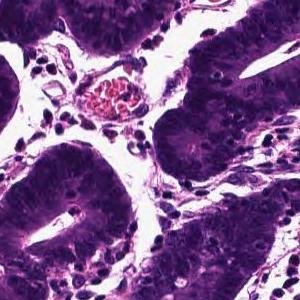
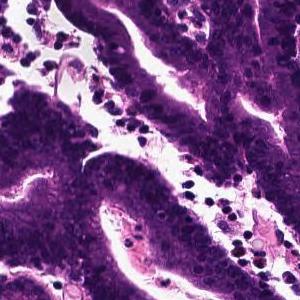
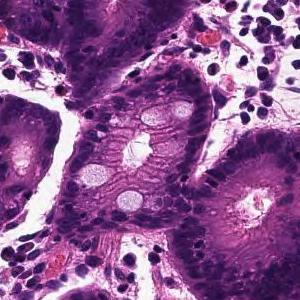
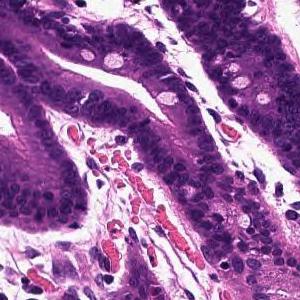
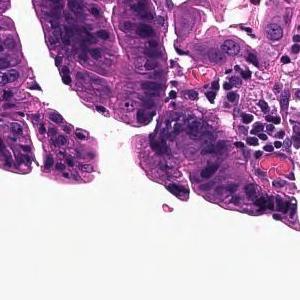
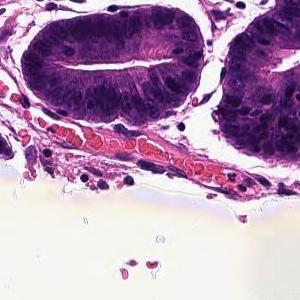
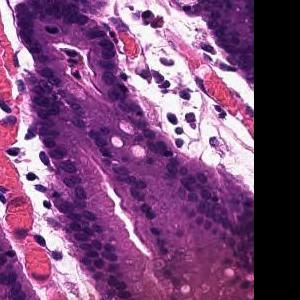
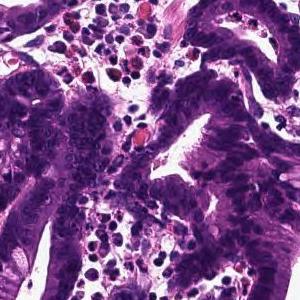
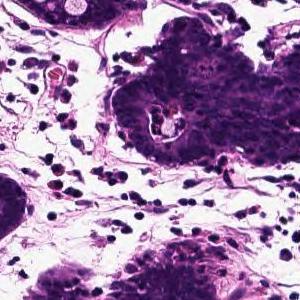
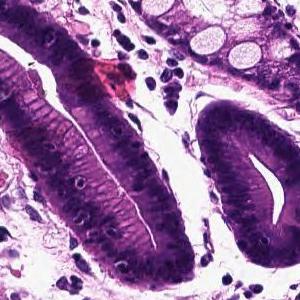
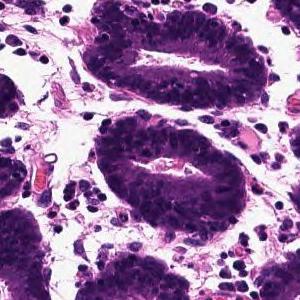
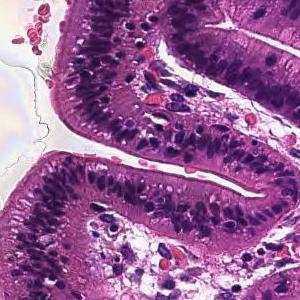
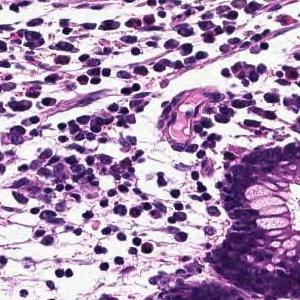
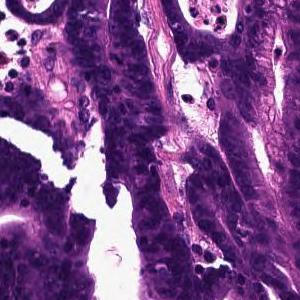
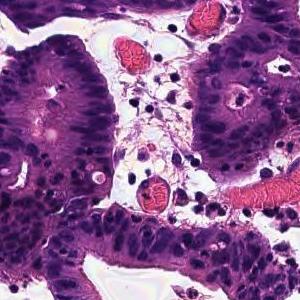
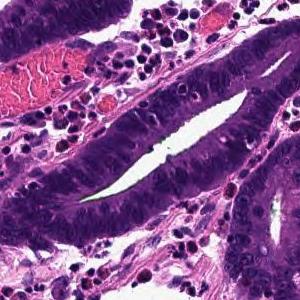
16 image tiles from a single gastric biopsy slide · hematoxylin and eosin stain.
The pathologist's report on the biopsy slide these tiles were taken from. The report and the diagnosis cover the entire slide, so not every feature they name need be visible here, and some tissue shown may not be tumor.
Tumor tissue that infiltrates by forming large papillary or large irregular glandular ducts is observed confined to the mucosa. Papillary adenocarcinoma
